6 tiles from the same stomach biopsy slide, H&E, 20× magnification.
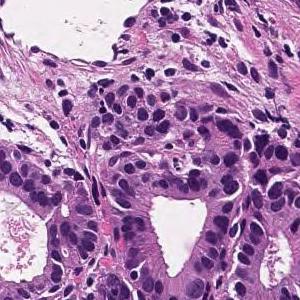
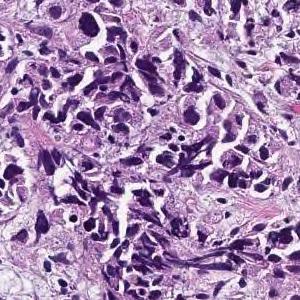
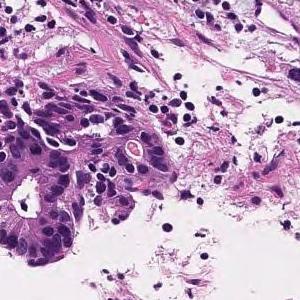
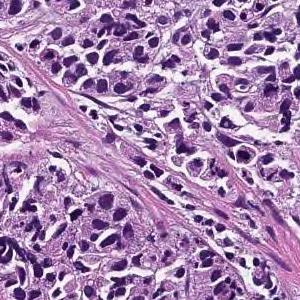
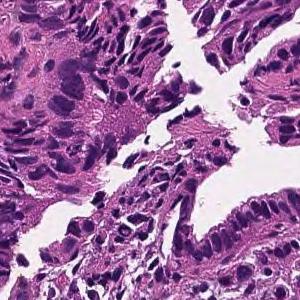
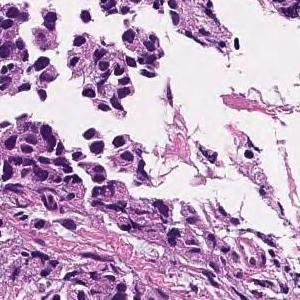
The pathologist's report on the biopsy slide these tiles were taken from. The report describes the whole slide, diagnosis included: not every finding it names need appear in these tiles, which may also show non-tumor tissue.
The lamina propria shows small cord-like tumor tissue that infiltrates with fibrosis and marked chronic inflammatory cell infiltration. Poorly differentiated adenocarcinoma, non-solid type
The non-solid type named here is a Japanese Classification of Gastric Carcinoma category.
